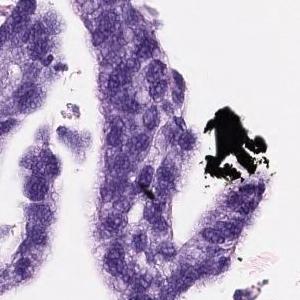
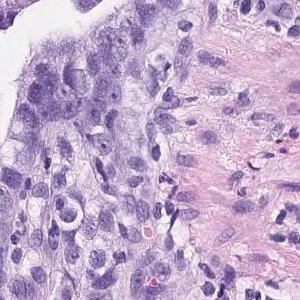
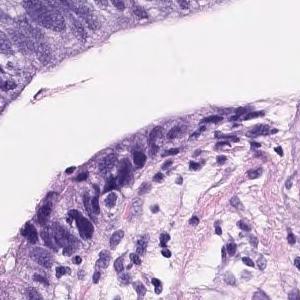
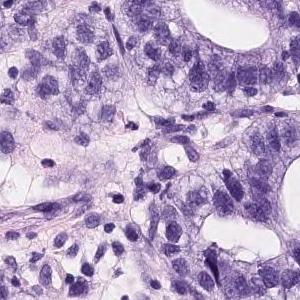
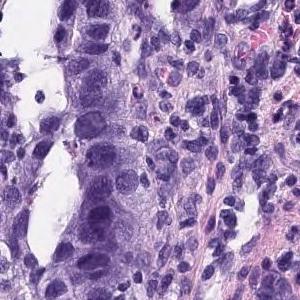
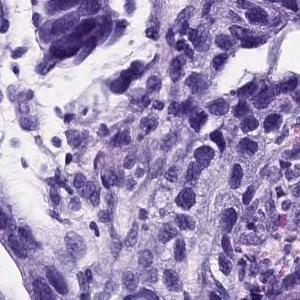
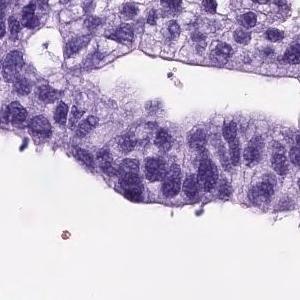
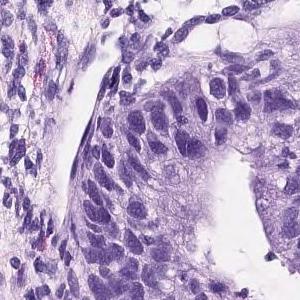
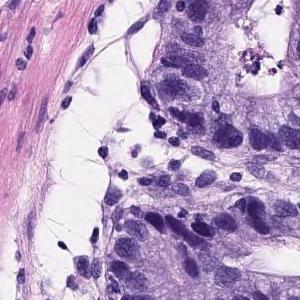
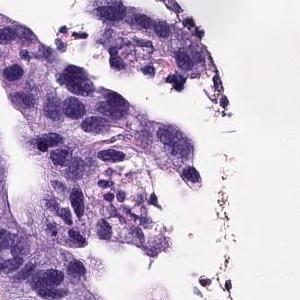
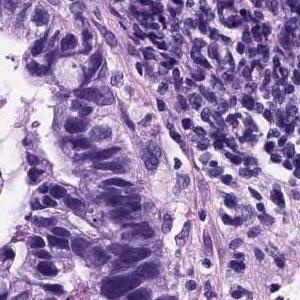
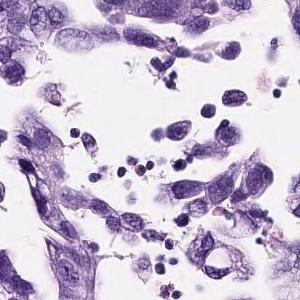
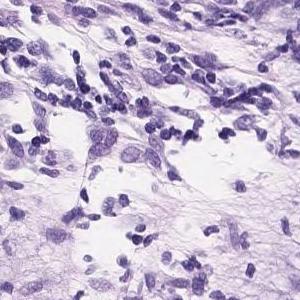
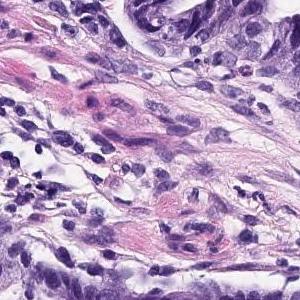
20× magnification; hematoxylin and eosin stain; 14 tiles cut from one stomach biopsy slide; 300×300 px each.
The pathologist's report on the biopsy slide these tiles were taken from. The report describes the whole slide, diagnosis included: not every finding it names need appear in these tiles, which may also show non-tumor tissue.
On the superficial epithelium, tumor tissue consisting of medium to small irregular tubules partially fused and proliferated is observed. moderately differentiated tubular adenocarcinoma
